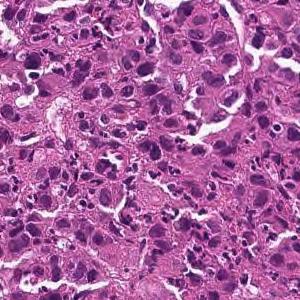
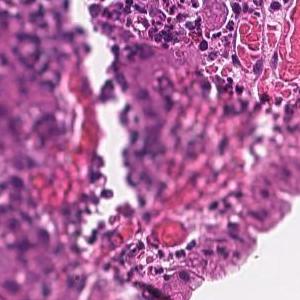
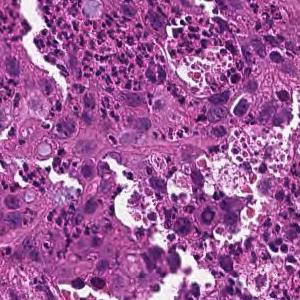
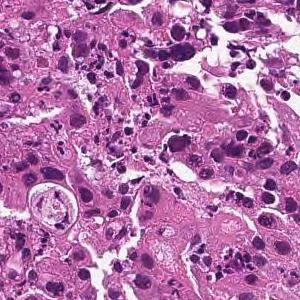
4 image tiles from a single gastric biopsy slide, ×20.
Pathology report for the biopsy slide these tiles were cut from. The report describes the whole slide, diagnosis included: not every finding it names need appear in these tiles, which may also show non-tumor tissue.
The superficial epithelium shows a large sheet-like shape, and some tumor tissue infiltrates with small irregular ducts. Poorly differentiated adenocarcinoma, solid-type
Classified as poorly differentiated adenocarcinoma, solid type, a category of the Japanese Classification of Gastric Carcinoma; in the WHO 2019 classification it is tubular adenocarcinoma, poorly differentiated.
